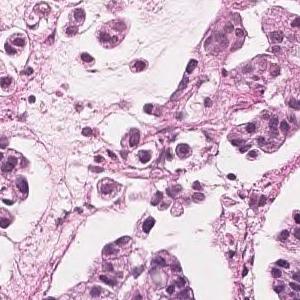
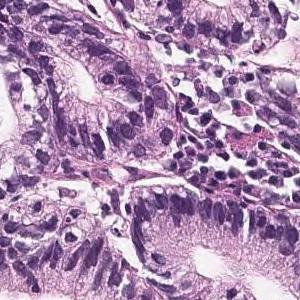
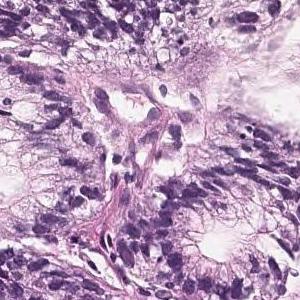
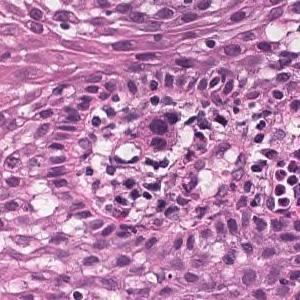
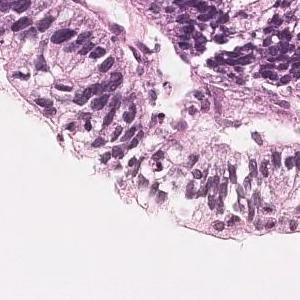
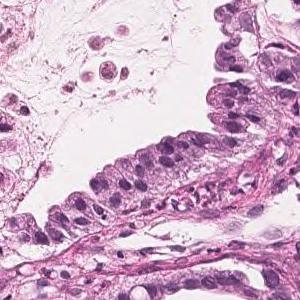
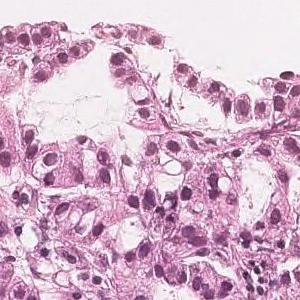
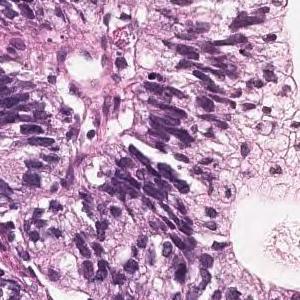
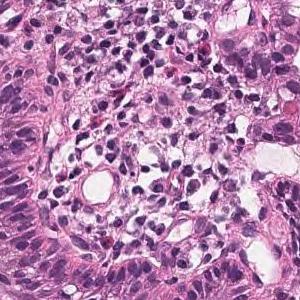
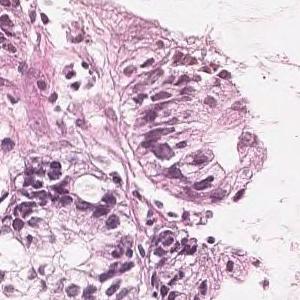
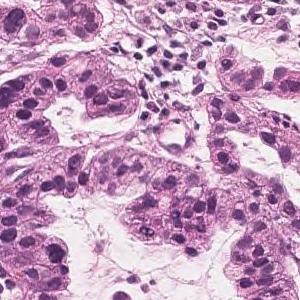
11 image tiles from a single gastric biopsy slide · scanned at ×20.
Report on the slide these tiles come from. Both the report and the diagnosis are for the whole slide: these tiles need not show every feature named, and some of the tissue shown may not be tumor.
Tumor cells are large, highly columnar, large club-shaped nuclei, and are associated with chromatin aggregation. Papillary adenocarcinoma.
